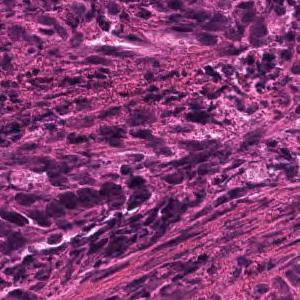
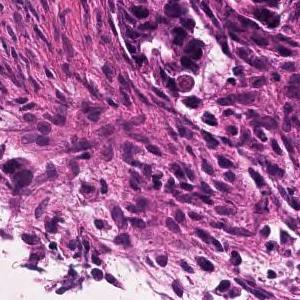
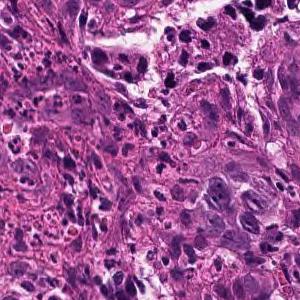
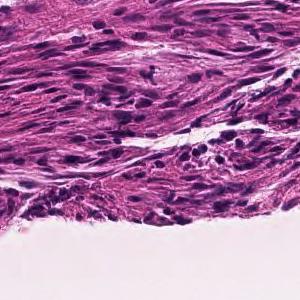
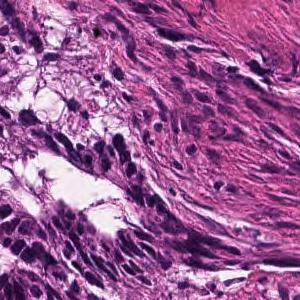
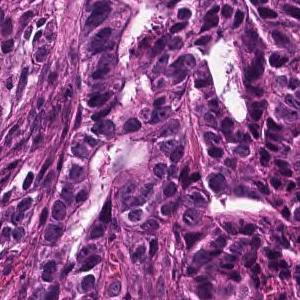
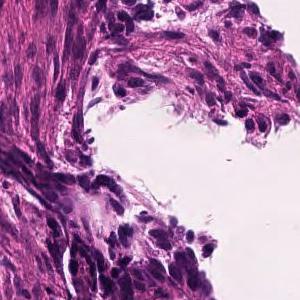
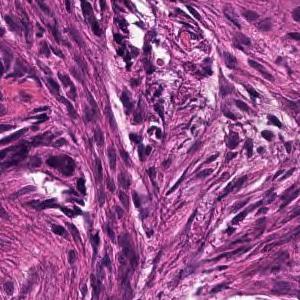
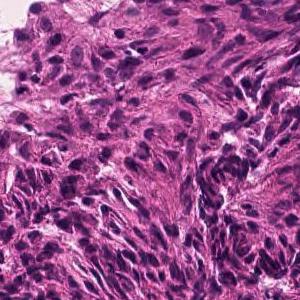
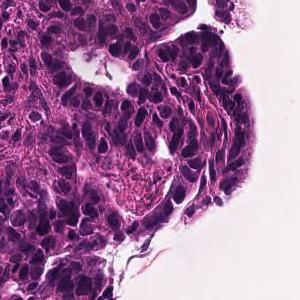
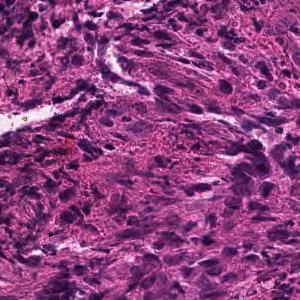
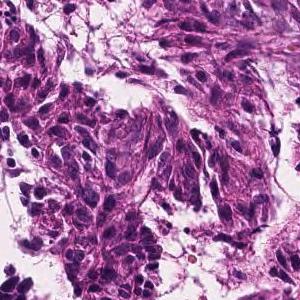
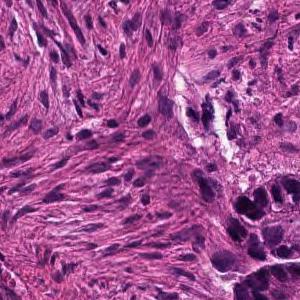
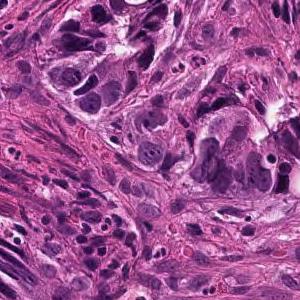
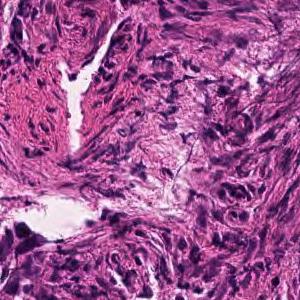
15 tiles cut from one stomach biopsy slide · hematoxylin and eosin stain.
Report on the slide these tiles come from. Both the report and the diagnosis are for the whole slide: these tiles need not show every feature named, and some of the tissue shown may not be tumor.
In the superficial epithelium, tumor tissue that invades by forming medium-sized to small, irregular ducts is observed. moderately differentiated tubular adenocarcinoma.
